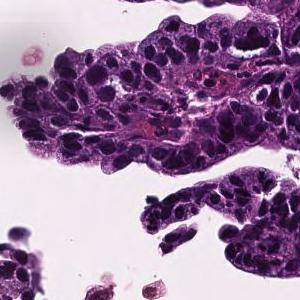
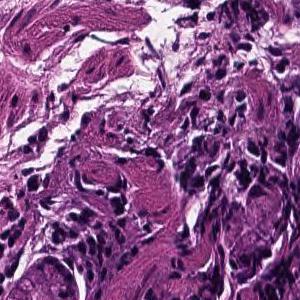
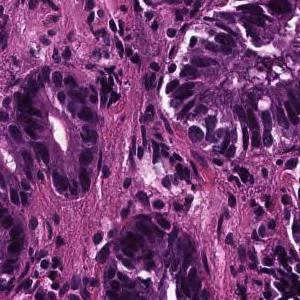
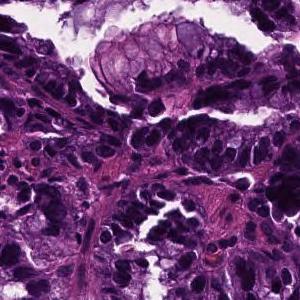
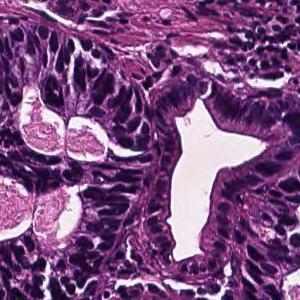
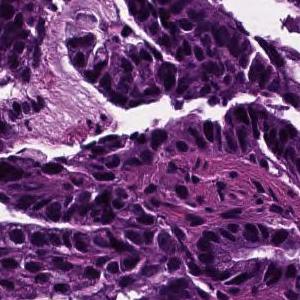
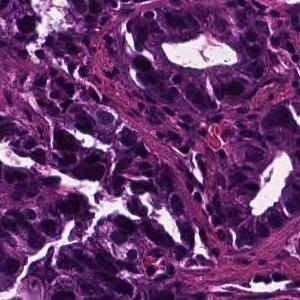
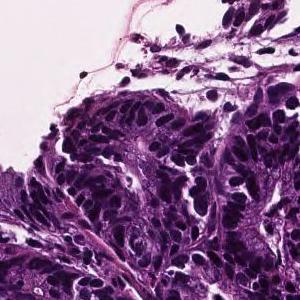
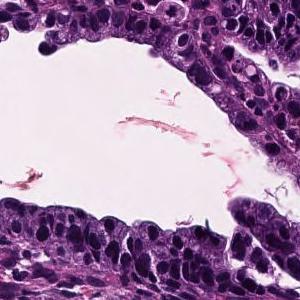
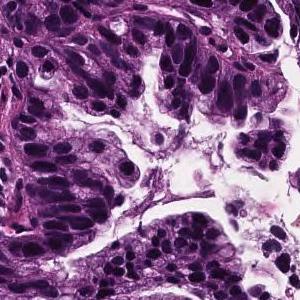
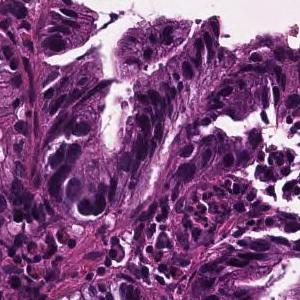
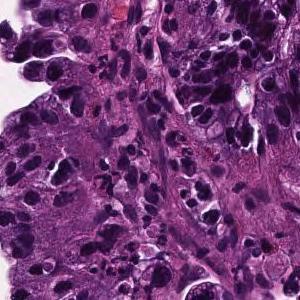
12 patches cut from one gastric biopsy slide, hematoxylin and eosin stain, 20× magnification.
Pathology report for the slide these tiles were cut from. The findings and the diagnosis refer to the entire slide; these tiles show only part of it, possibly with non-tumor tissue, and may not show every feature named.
In the superficial epithelium, tumor tissue that invades by forming medium-sized to small, irregular ducts is observed. Well differentiated tubular adenocarcinoma.
